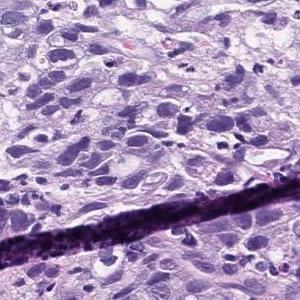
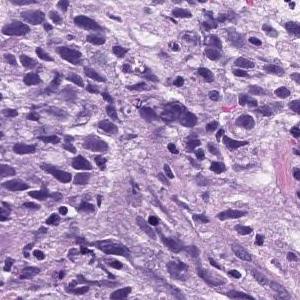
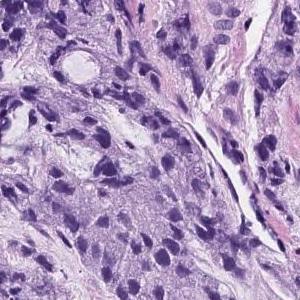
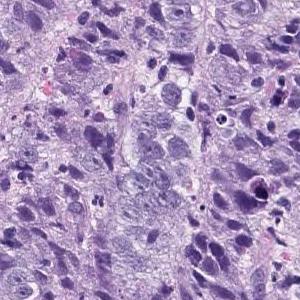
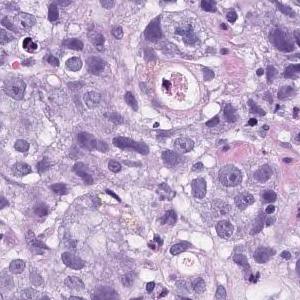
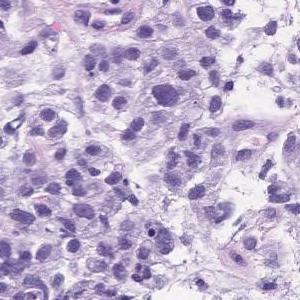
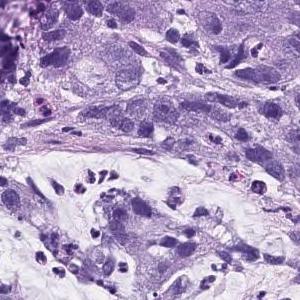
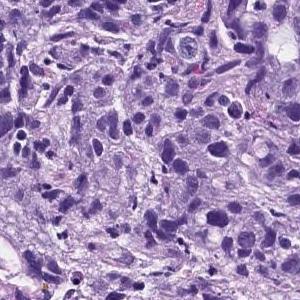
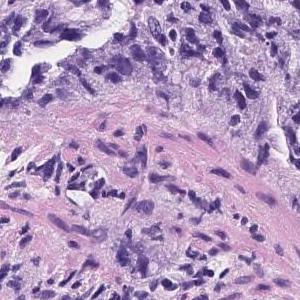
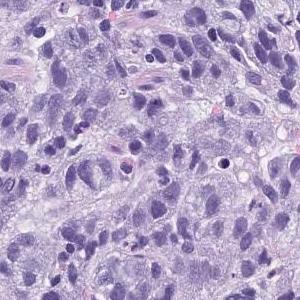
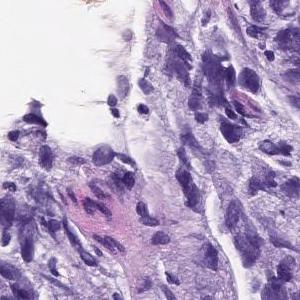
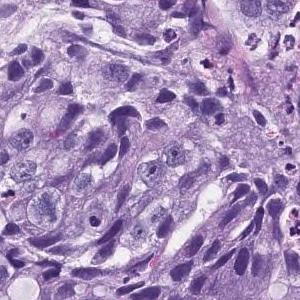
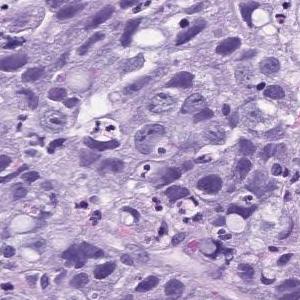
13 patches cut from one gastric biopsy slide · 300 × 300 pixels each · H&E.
Pathology report for the slide these tiles were cut from. The report and the diagnosis describe the slide as a whole, so these tiles may not show every feature named and may include non-tumor tissue.
Atypical l cells with atypical nuclei forming solid vesicles or small irregular atypical ducts that proliferate in a complex manner. poorly differentiated adenocarcinoma, solid type, moderately differentiated tubular adenocarcinoma
The term "solid type" comes from the Japanese Classification of Gastric Carcinoma; the WHO 2019 equivalent is tubular adenocarcinoma, poorly differentiated.
